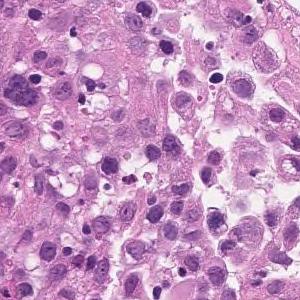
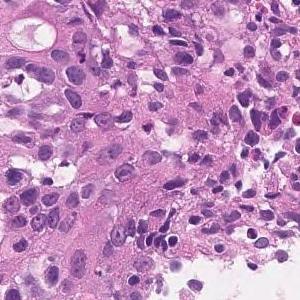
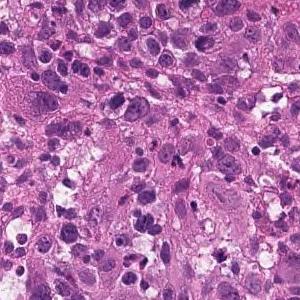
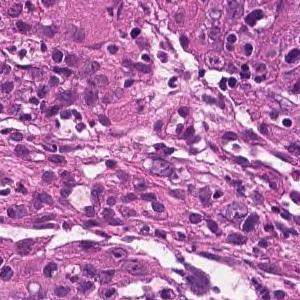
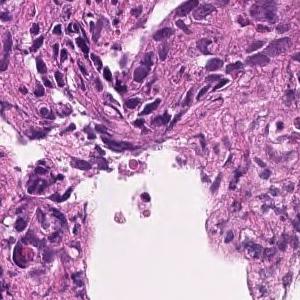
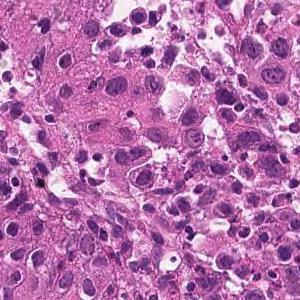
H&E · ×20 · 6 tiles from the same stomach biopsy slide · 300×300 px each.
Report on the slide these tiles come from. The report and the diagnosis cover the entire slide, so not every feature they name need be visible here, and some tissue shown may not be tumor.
The superficial epithelium shows a large sheet-like shape, and some tumor tissue infiltrates with small irregular ducts. Poorly differentiated adenocarcinoma, solid-type
Classified as poorly differentiated adenocarcinoma, solid type, a category of the Japanese Classification of Gastric Carcinoma; in the WHO 2019 classification it is tubular adenocarcinoma, poorly differentiated.
